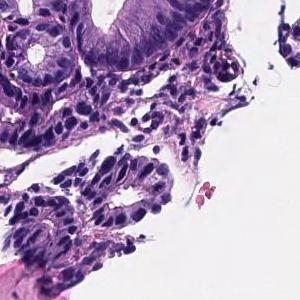
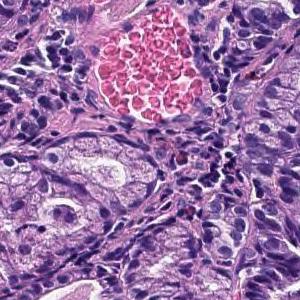
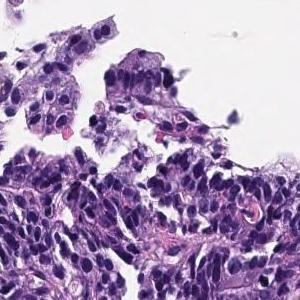
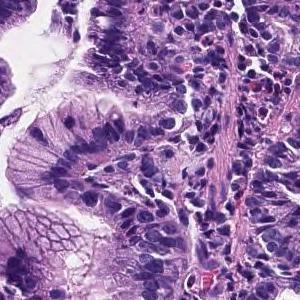
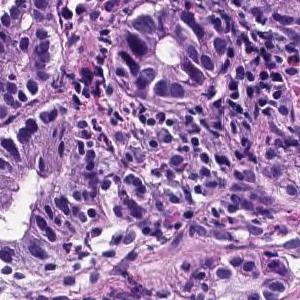
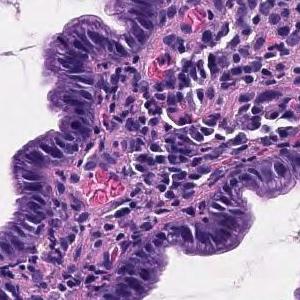
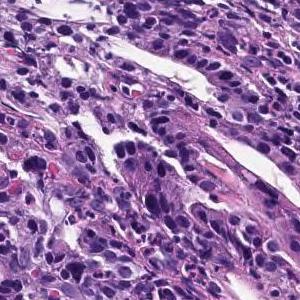
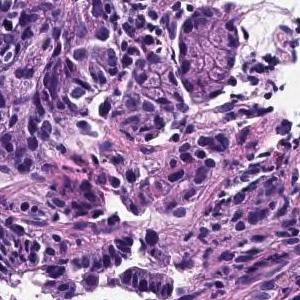
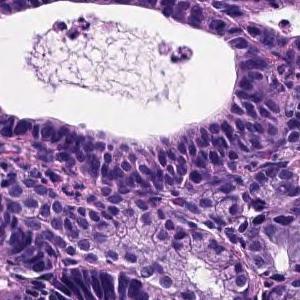
9 image tiles from a single gastric biopsy slide · 300×300 px each · hematoxylin and eosin stain.
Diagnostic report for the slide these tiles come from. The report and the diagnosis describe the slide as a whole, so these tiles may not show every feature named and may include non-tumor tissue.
The superficial tumors shows large papillary structures or large and small ducts and infiltrates. Papillary adenocarcinoma.
